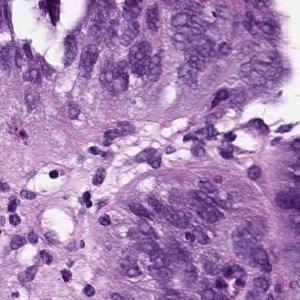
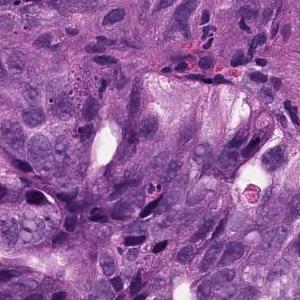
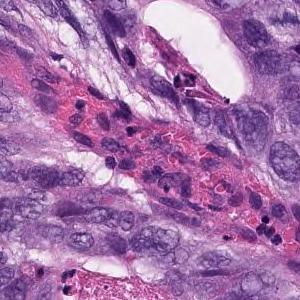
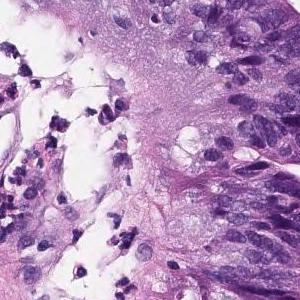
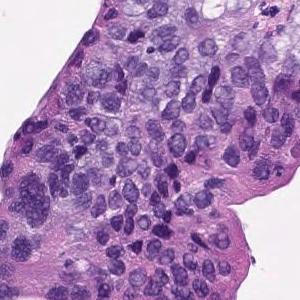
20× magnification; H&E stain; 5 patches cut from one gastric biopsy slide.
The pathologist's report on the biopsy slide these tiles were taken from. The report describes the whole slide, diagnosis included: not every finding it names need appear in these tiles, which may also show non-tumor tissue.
In the superficial epithelium, tumor tissue that invades by forming medium-sized to small, irregular ducts is observed. Moderately differentiated adenocarcinoma.
Histologic type: Moderately differentiated tubular adenocarcinoma.
